H&E; 10 tiles cut from one stomach biopsy slide; 300 × 300 pixels each.
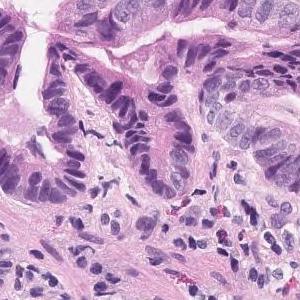
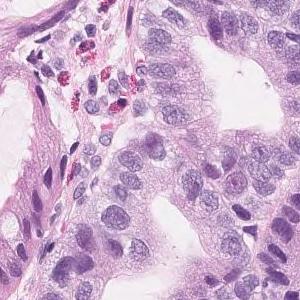
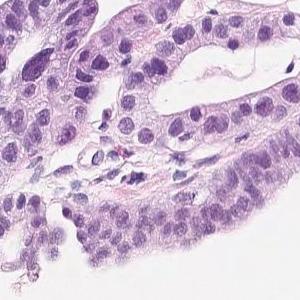
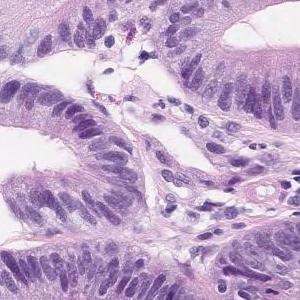
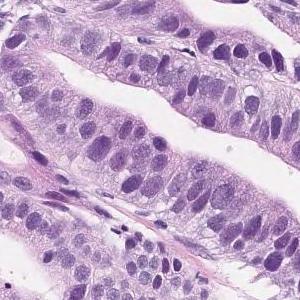
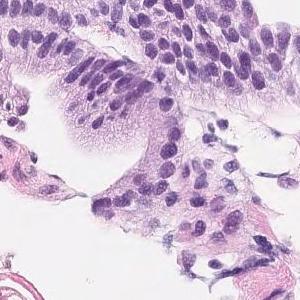
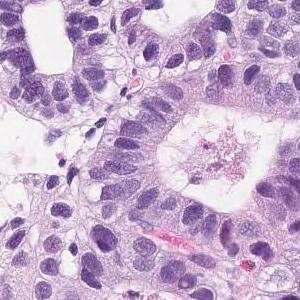
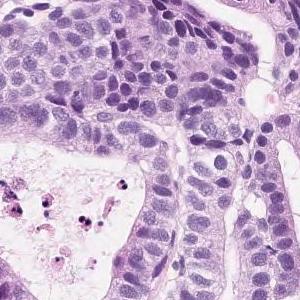
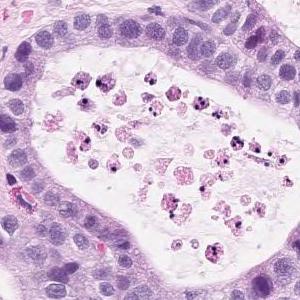
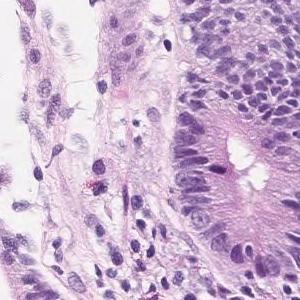
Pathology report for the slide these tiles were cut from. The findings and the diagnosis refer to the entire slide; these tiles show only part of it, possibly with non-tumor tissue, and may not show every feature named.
Short atypical epithelium with swelling of the nucleus shows proliferating, large and small irregular ductal structures. Well to moderately differentiated tubular adenocarcinoma (well differentiated tubular adenocarcinoma-moderately differentiated tubular adenocarcinoma)
Histological subtype: Well to moderately differentiated tubular adenocarcinoma.
